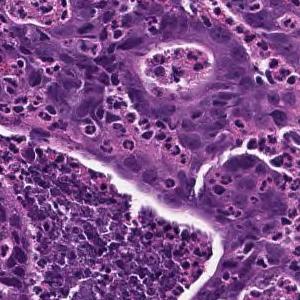
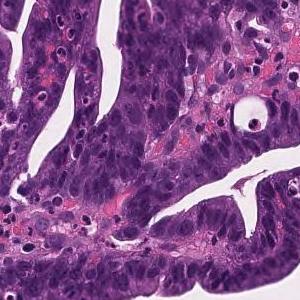
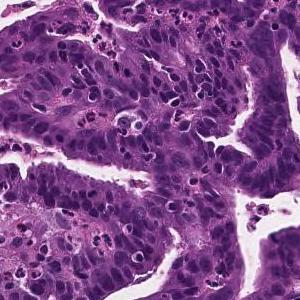
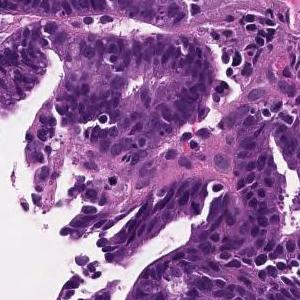
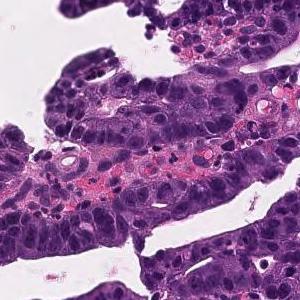
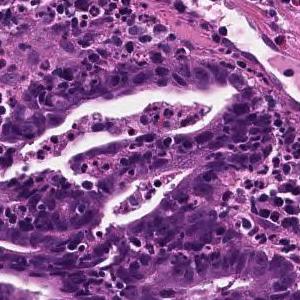
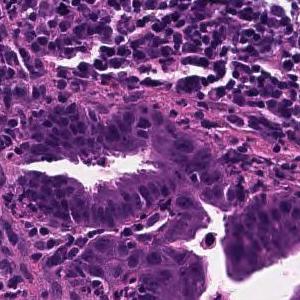
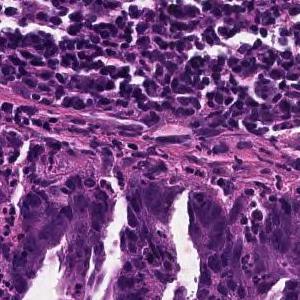
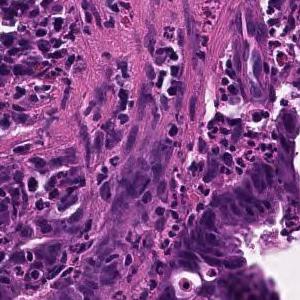
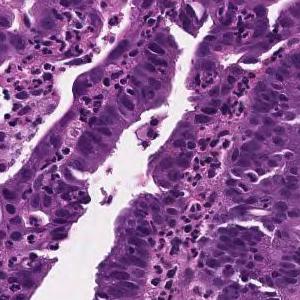
Scanned at ×20; hematoxylin and eosin stain; 10 tiles cut from one stomach biopsy slide; 300×300 px each.
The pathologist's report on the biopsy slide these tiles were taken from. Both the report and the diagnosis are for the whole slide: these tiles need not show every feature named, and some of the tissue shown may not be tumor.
Tumor cells are large, highly columnar, large club-shaped nuclei, and are associated with chromatin aggregation. Papillary adenocarcinoma.
